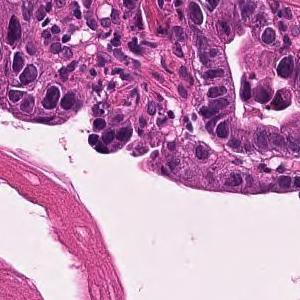
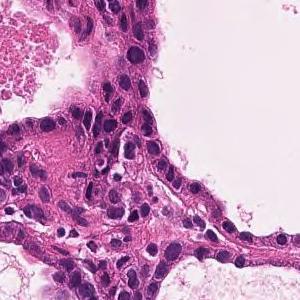
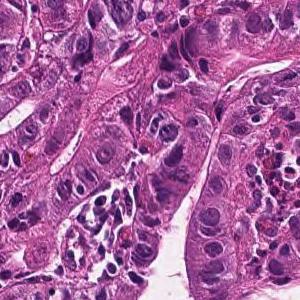
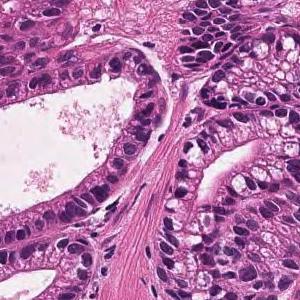
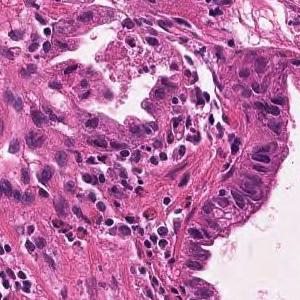
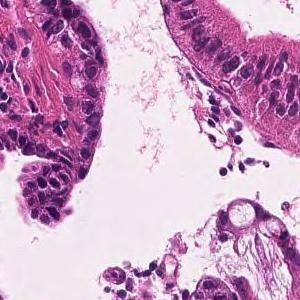
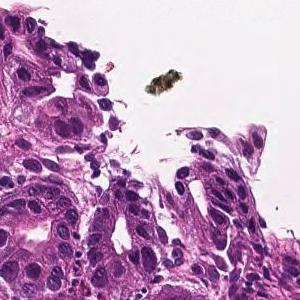
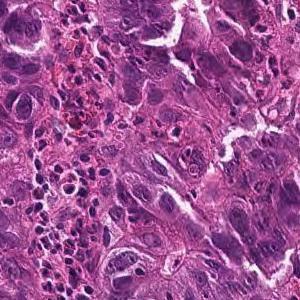
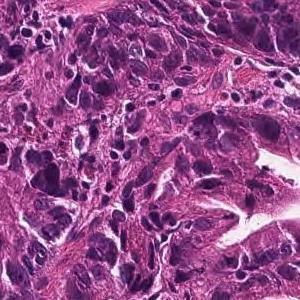
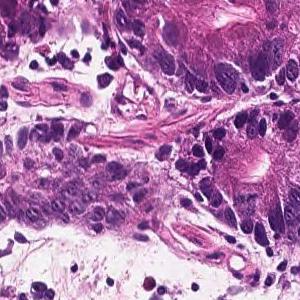
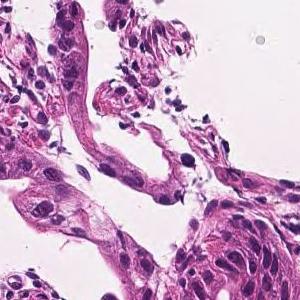
11 tiles from the same stomach biopsy slide; 300 × 300 pixels each; hematoxylin and eosin stain.
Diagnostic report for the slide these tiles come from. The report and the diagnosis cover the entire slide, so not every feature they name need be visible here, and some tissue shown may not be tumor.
In the superficial epithelium, tumor tissue that invades by forming medium-sized to small, irregular ducts is observed. moderately differentiated tubular adenocarcinoma.
